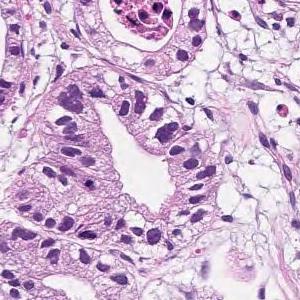
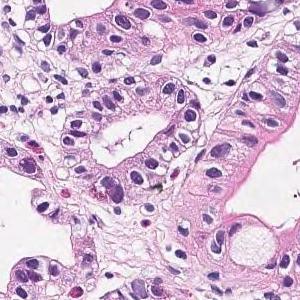
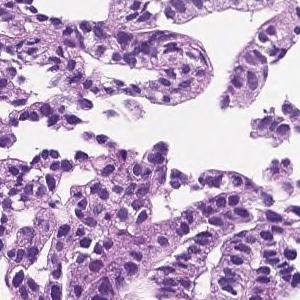
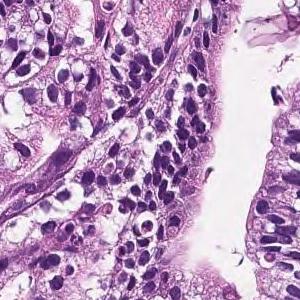
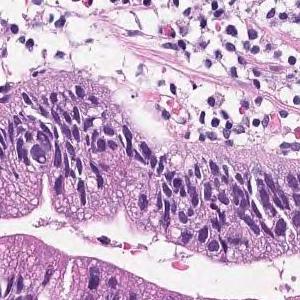
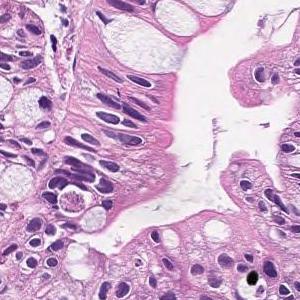
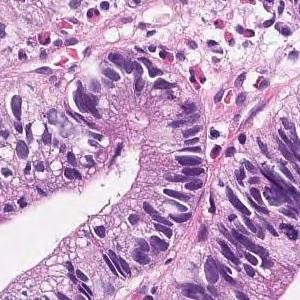
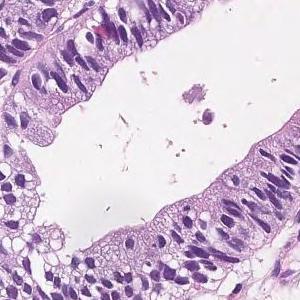
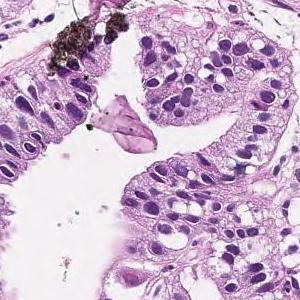
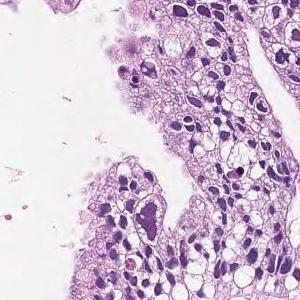
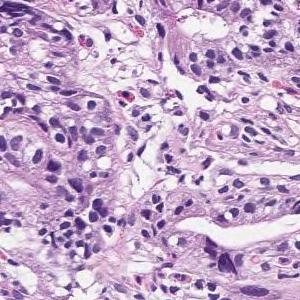
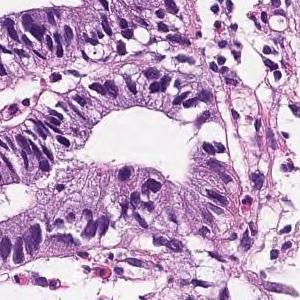
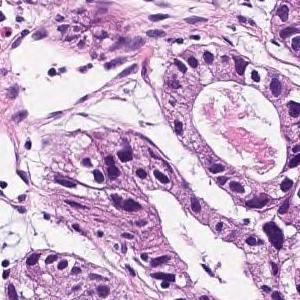
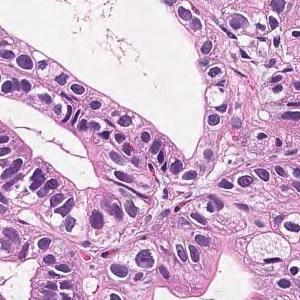
14 tiles cut from one stomach biopsy slide, scanned at ×20, H&E stain.
Pathology report for the biopsy slide these tiles were cut from. The report and the diagnosis cover the entire slide, so not every feature they name need be visible here, and some tissue shown may not be tumor.
In the superficial epithelium, tumor tissue that invades by forming medium-sized to small, irregular ducts is observed. Moderately differentiated adenocarcinoma.
Histological subtype: Moderately differentiated tubular adenocarcinoma.
